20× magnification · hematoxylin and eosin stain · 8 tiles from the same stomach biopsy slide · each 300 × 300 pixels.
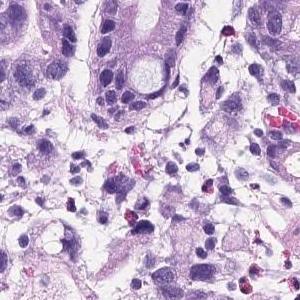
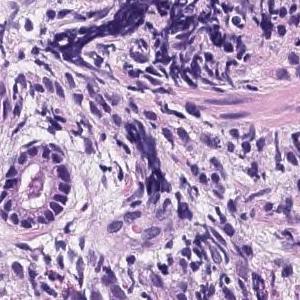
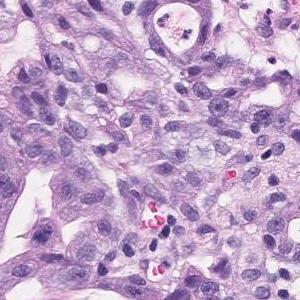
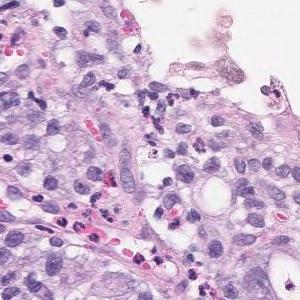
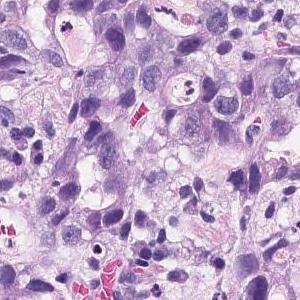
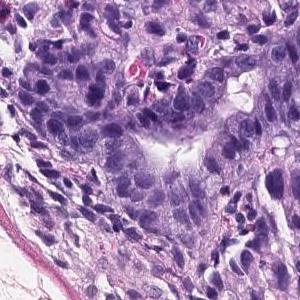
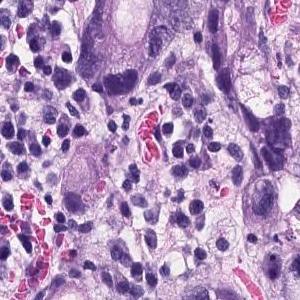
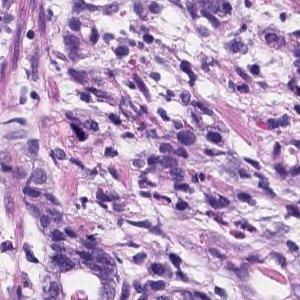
Pathology report for the slide these tiles were cut from. Both the report and the diagnosis are for the whole slide: these tiles need not show every feature named, and some of the tissue shown may not be tumor.
There are atypical l cells with atypical nuclei forming cord-like or irregular atypical ducts from solidity and proliferating in a comprehensive manner. Poorly differentiated adenocarcinoma, Moderately differentiated adenocarcinoma (poorly differentiated adenocarcinoma, solid type moderately differentiated tubular adenocarcinoma)
Tumor subtype: moderately to poorly differentiated adenocarcinoma.
"Solid type" is a category of the Japanese Classification of Gastric Carcinoma; in the WHO 2019 classification it is tubular adenocarcinoma, poorly differentiated.
